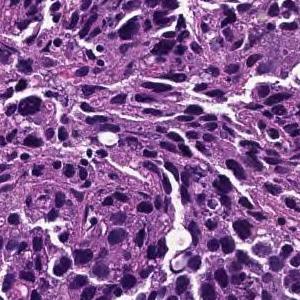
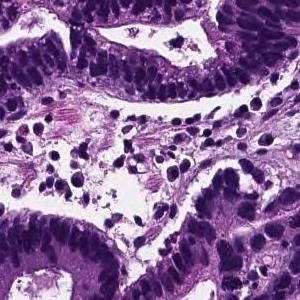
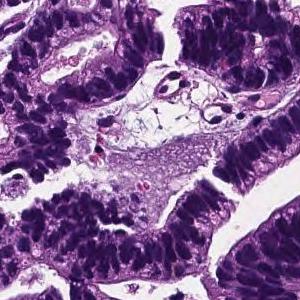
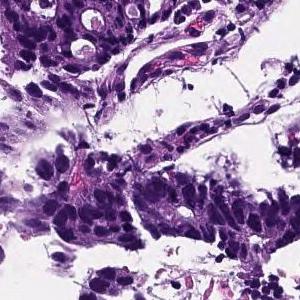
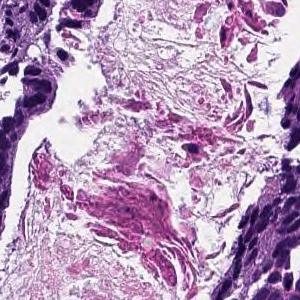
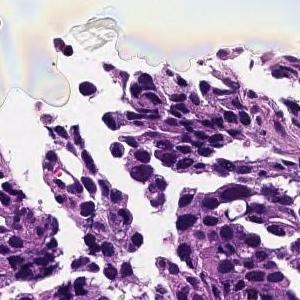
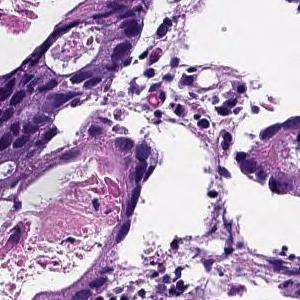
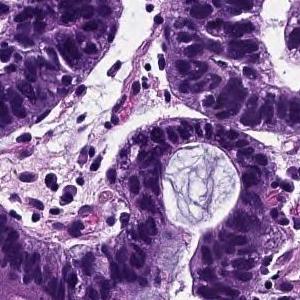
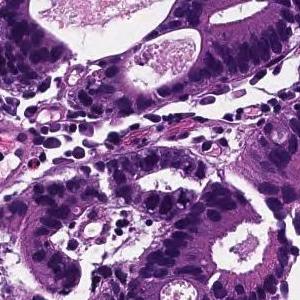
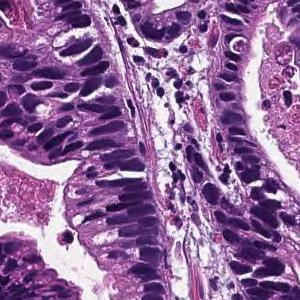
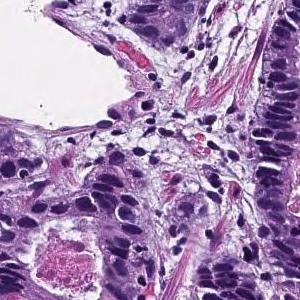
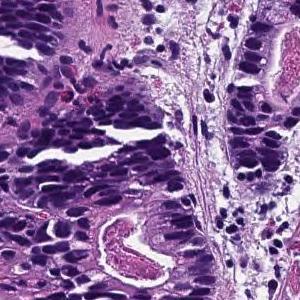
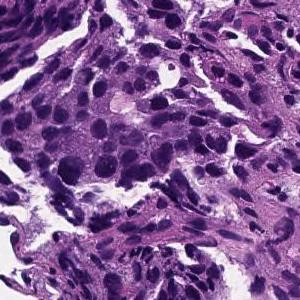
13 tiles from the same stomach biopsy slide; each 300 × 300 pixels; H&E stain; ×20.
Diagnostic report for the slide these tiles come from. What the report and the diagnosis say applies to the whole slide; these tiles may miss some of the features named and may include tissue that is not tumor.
From the superficial epithelium to the muscularis mucosae, tumor tissue consisting of medium-sized and irregular glandular ducts infiltrating is observed. Well differentiated tubular adenocarcinoma
